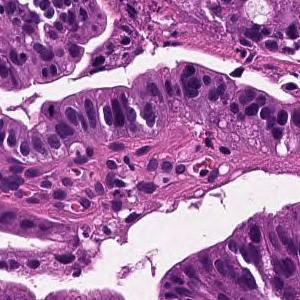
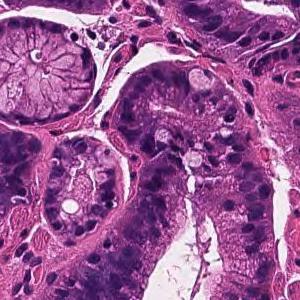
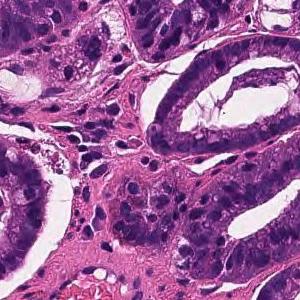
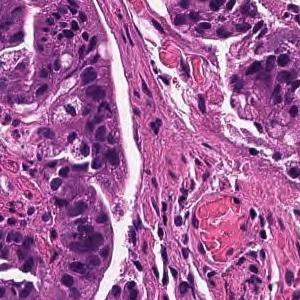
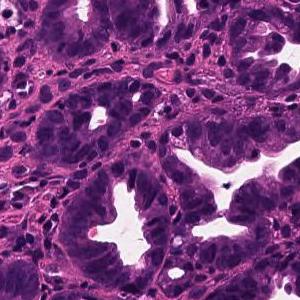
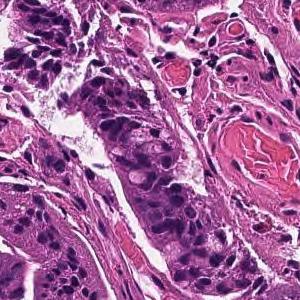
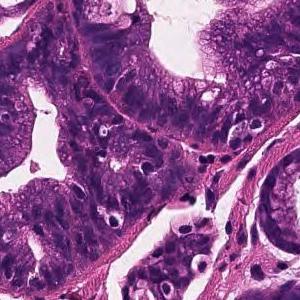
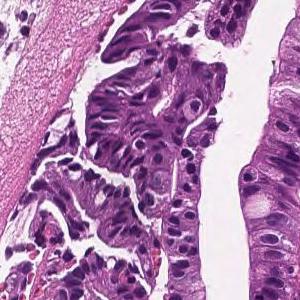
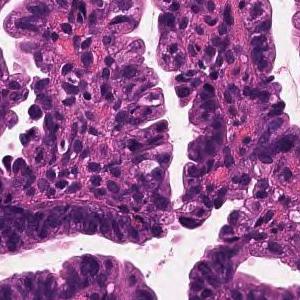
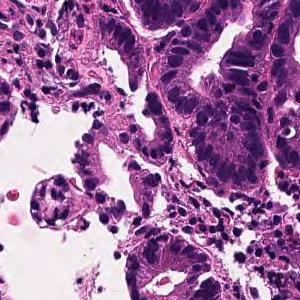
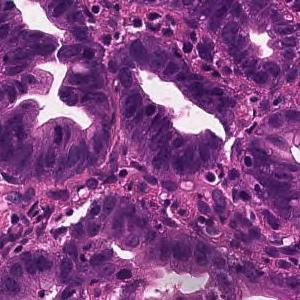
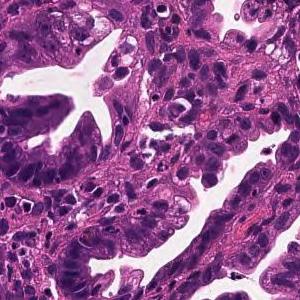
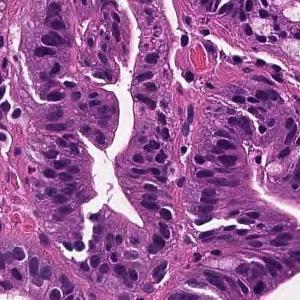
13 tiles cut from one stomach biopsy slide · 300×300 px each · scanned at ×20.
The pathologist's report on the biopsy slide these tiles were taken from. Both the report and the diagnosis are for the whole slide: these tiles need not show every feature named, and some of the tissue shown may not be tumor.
On the superficial epithelium, tumor tissue that infiltrates by forming medium-sized papillary or small irregular ducts is observed. Papillary adenocarcinoma
